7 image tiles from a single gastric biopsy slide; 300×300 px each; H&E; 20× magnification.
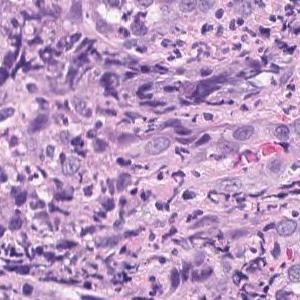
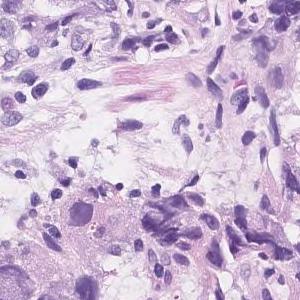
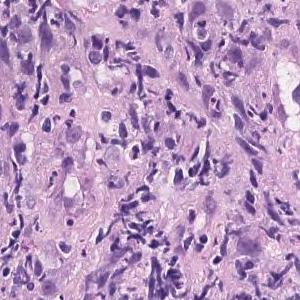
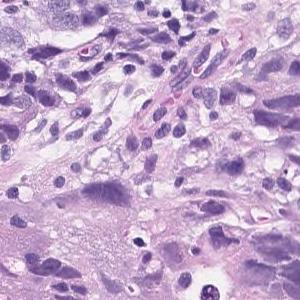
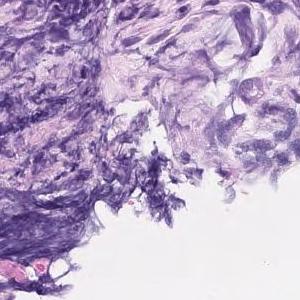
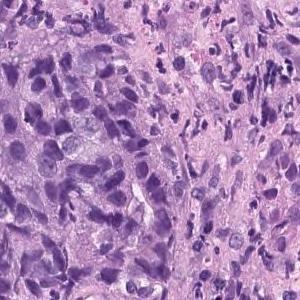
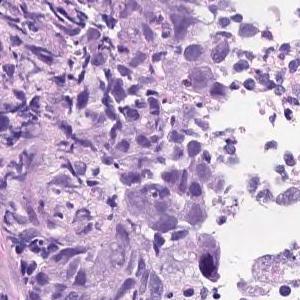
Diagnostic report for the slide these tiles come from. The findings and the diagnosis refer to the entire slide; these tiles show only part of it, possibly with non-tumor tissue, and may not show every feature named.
Atypical epithelial cells infiltrating and proliferating diffusely or while forming vesicles is observed. Poorly differentiated adenocarcinoma (poorly differentiated adenocarcinoma, solid type moderately differentiated tubular adenocarcinoma)
The dataset labels this slide poorly differentiated adenocarcinoma, solid type, a category of the Japanese Classification of Gastric Carcinoma; in the WHO 2019 classification it is tubular adenocarcinoma, poorly differentiated.
